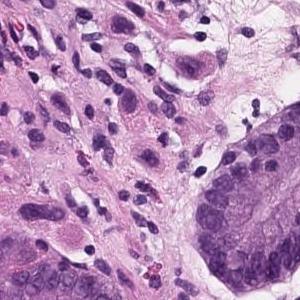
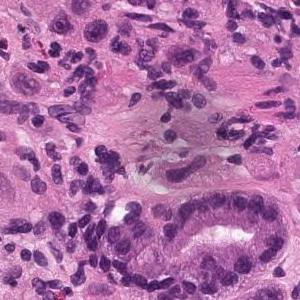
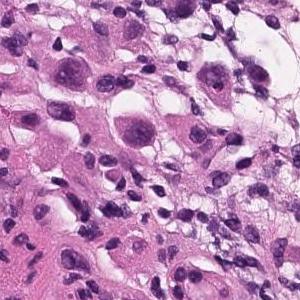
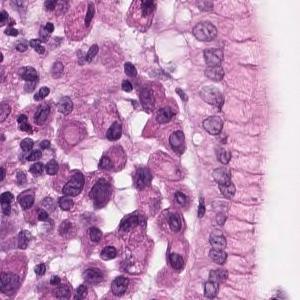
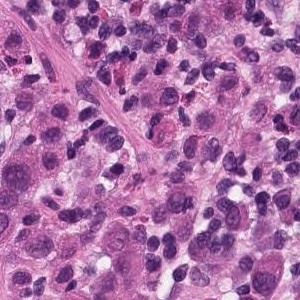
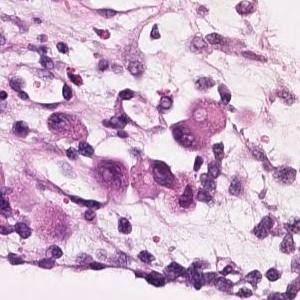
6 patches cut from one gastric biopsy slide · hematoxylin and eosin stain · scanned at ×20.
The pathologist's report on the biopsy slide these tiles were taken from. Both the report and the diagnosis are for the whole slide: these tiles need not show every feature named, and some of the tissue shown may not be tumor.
Tumor cells with dense chromatin infiltrate and proliferate in the interstitium in an isolated and scattered manner. Poorly differentiated adenocarcinoma
Histological subtype: Poorly differentiated adenocarcinoma, solid type, a category of the Japanese Classification of Gastric Carcinoma; in the WHO 2019 classification it is tubular adenocarcinoma, poorly differentiated.
